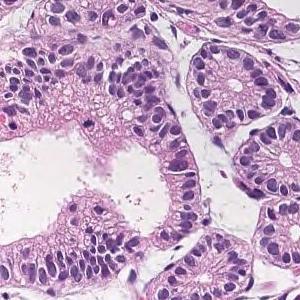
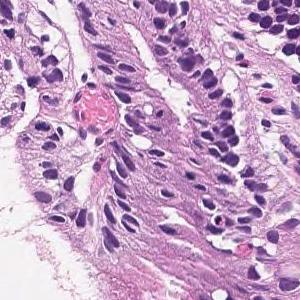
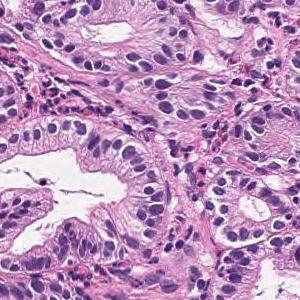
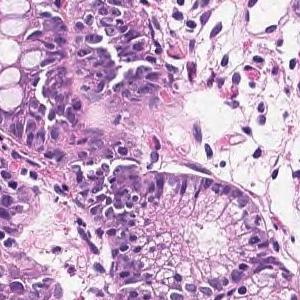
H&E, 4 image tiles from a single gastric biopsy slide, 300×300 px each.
Report on the slide these tiles come from. The report describes the whole slide, diagnosis included: not every finding it names need appear in these tiles, which may also show non-tumor tissue.
In the superficial epithelium, tumor tissue that invades by forming medium-sized to small, irregular ducts is observed. Well differentiated tubular adenocarcinoma.
